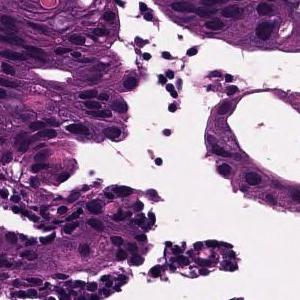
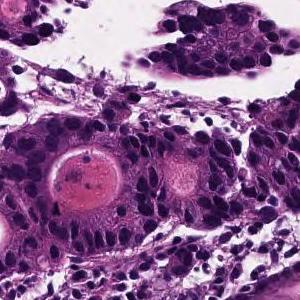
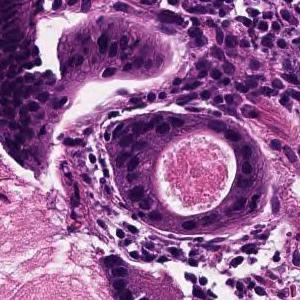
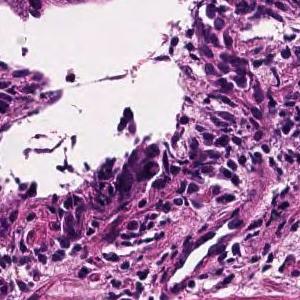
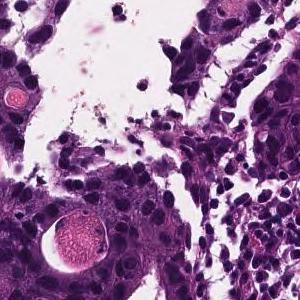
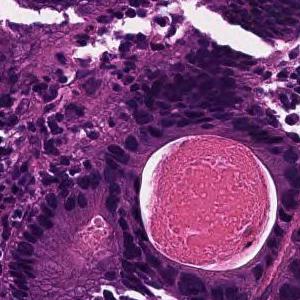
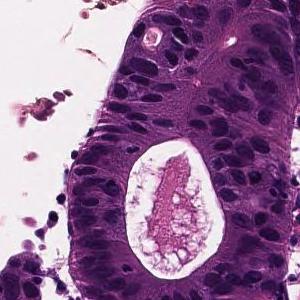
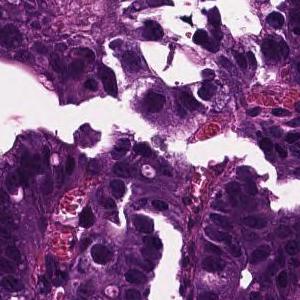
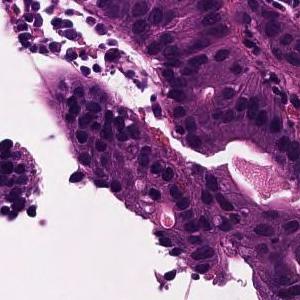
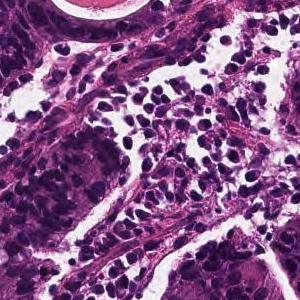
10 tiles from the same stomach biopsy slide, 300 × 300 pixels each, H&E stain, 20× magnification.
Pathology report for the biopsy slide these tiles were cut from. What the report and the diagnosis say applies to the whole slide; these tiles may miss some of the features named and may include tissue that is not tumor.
In the superficial epithelium, tumor tissue that invades by forming medium-sized to small, irregular ducts is observed. moderately differentiated tubular adenocarcinoma.
